16 tiles cut from one stomach biopsy slide, 300 × 300 pixels each.
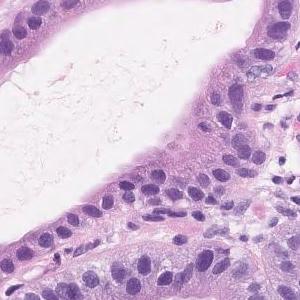
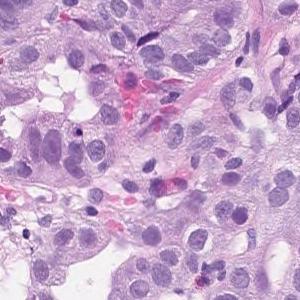
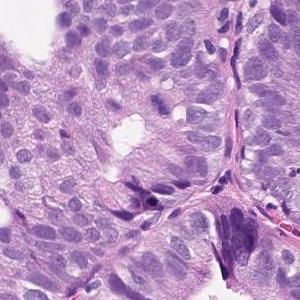
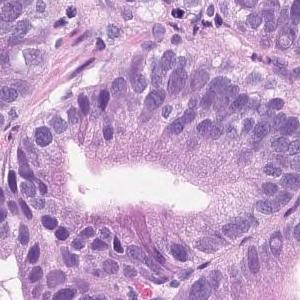
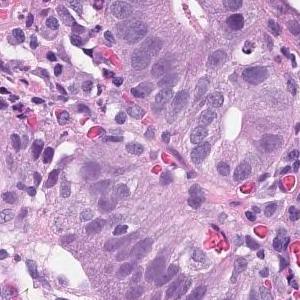
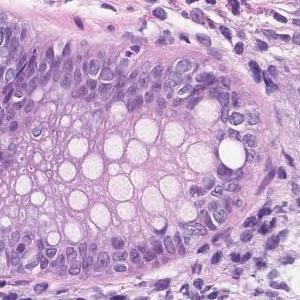
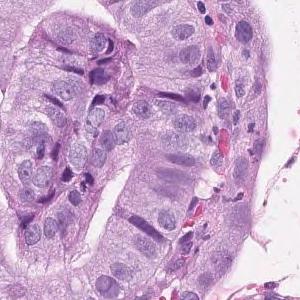
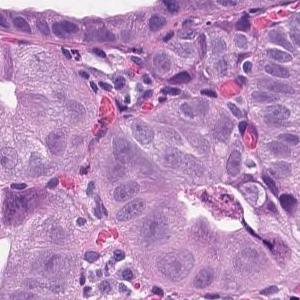
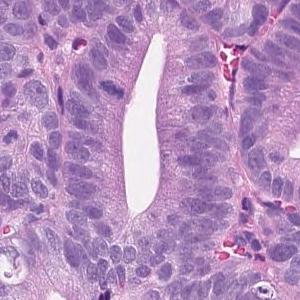
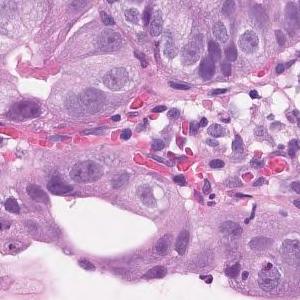
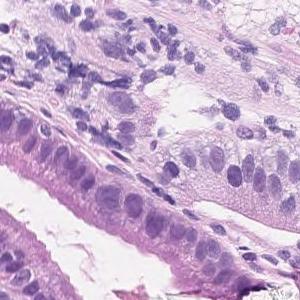
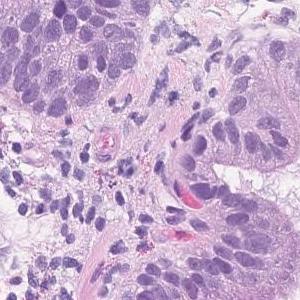
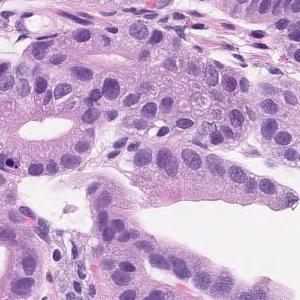
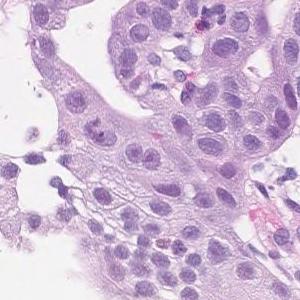
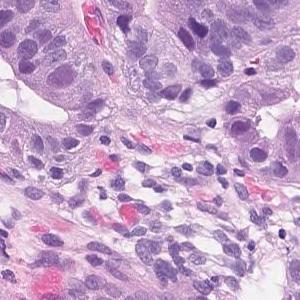
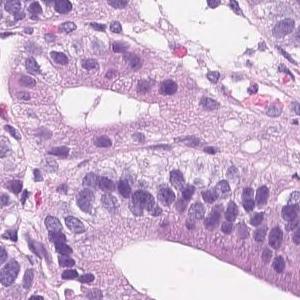
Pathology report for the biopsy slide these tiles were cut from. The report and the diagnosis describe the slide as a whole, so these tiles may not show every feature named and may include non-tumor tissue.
Tumor tissue consisting of medium-sized and irregular ducts is observed infiltrating in the superficial epithelium. Tumor cells are highly columnar, with nuclei aligned basolaterally and polarized. Well differentiated tubular adenocarcinoma.
